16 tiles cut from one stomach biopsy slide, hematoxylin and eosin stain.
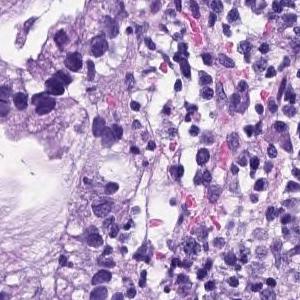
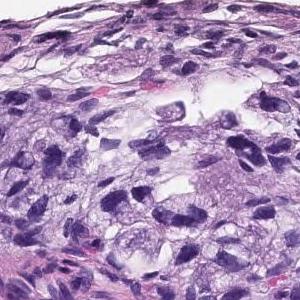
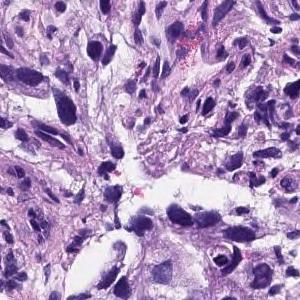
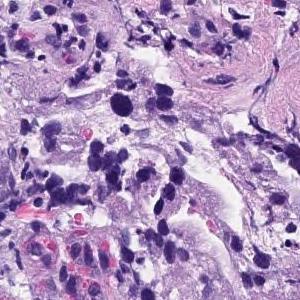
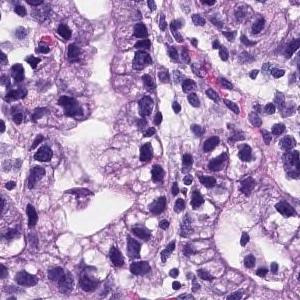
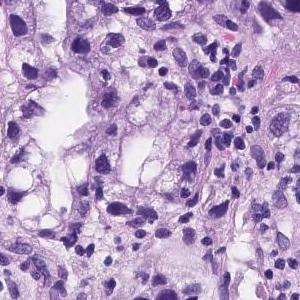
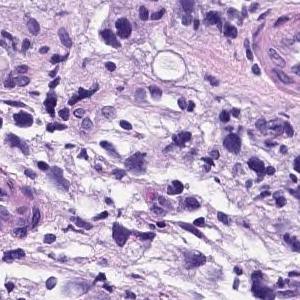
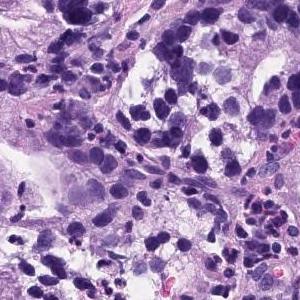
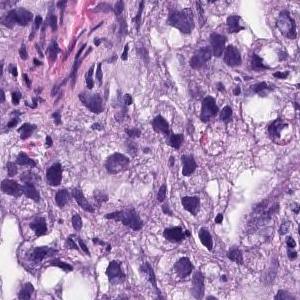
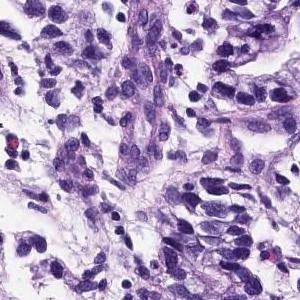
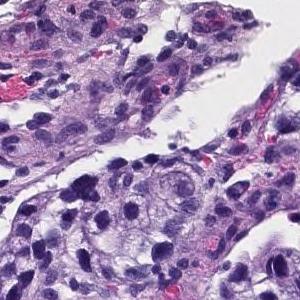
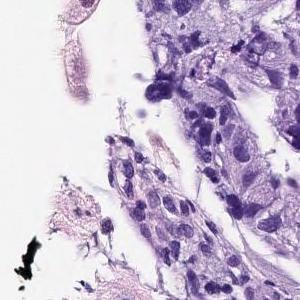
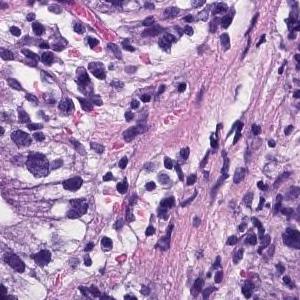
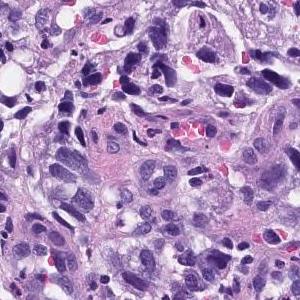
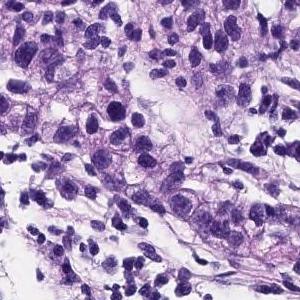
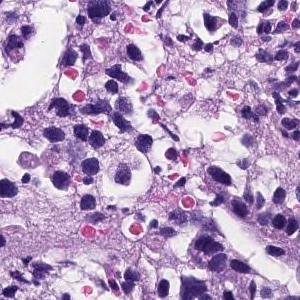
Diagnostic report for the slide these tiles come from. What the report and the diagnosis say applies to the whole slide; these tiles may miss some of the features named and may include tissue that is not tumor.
Medium to small, irregular glandular ducts are formed in the superficial epithelium, and in some cases, the glandular ducts are fused to show solid alveolar lesions and infiltrating tumor tissue is observed. Poorly differentiated adenocarcinoma, Moderately differentiated adenocarcinoma.
The dataset labels this slide moderately differentiated tubular adenocarcinoma.
